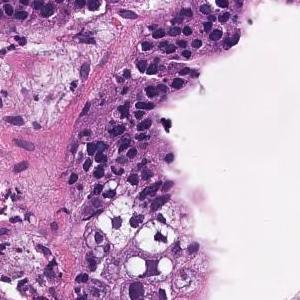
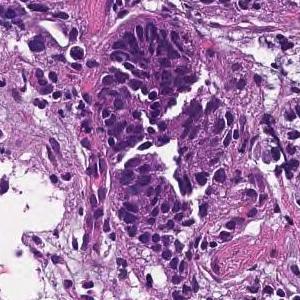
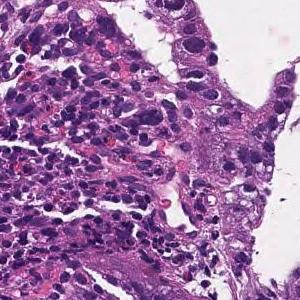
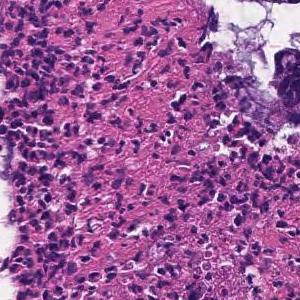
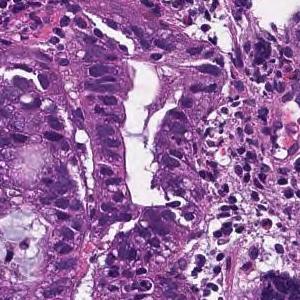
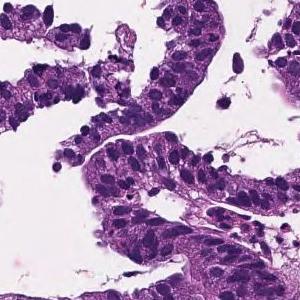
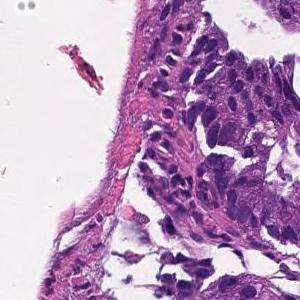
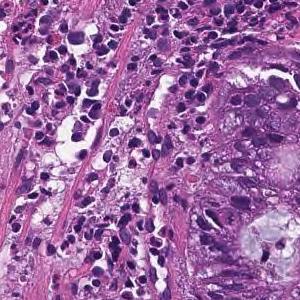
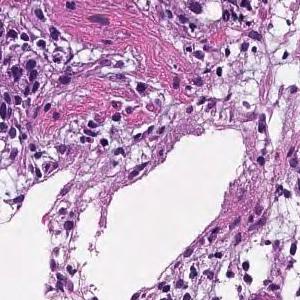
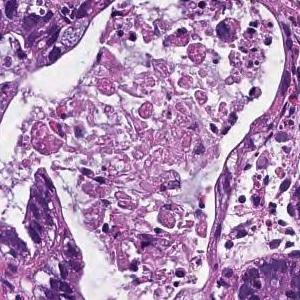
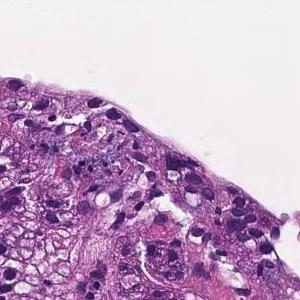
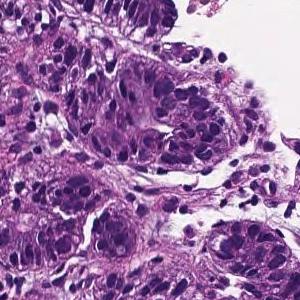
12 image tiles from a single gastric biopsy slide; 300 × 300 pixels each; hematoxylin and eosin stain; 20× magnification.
The pathologist's report on the biopsy slide these tiles were taken from. The findings and the diagnosis refer to the entire slide; these tiles show only part of it, possibly with non-tumor tissue, and may not show every feature named.
From the superficial epithelium to the muscularis mucosae, tumor tissue consisting of medium-sized and irregular glandular ducts infiltrating is observed. Well differentiated tubular adenocarcinoma
